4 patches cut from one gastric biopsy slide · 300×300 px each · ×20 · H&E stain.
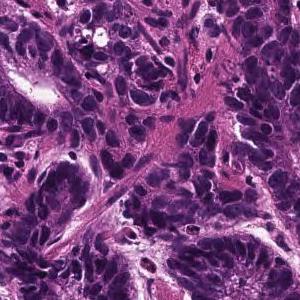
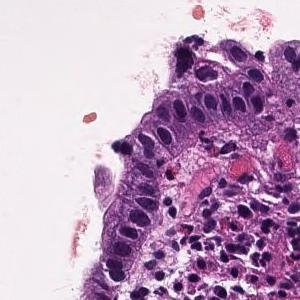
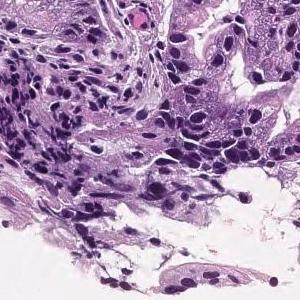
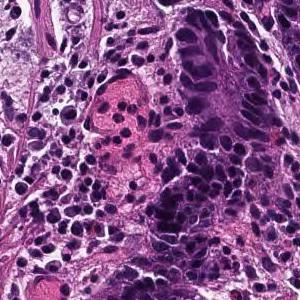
The pathologist's report on the biopsy slide these tiles were taken from. What the report and the diagnosis say applies to the whole slide; these tiles may miss some of the features named and may include tissue that is not tumor.
In the superficial epithelium, tumor tissue that invades by forming medium-sized to small, irregular ducts is observed. Well differentiated tubular adenocarcinoma.
